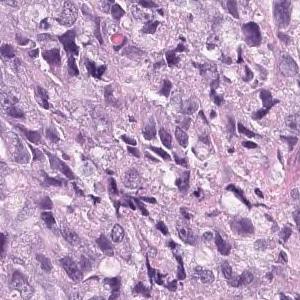
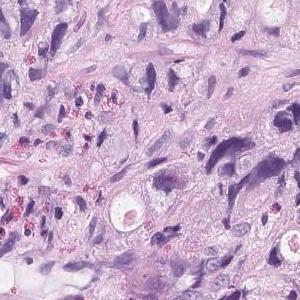
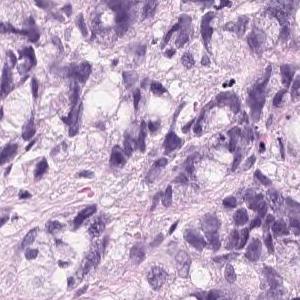
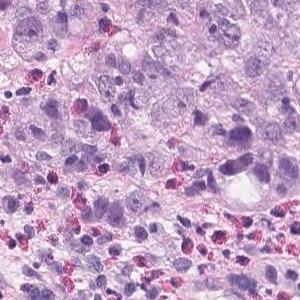
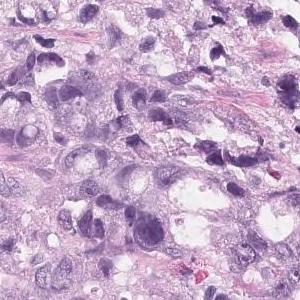
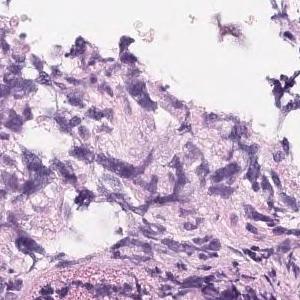
H&E stain; 6 tiles from the same stomach biopsy slide.
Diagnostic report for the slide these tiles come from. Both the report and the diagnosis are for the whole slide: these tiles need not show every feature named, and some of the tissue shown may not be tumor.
Tumor tissue that infiltrates and proliferates by forming small glandular cavities in the superficial layer to the submucosa or forming a mass is observed. moderately differentiated tubular adenocarcinoma
